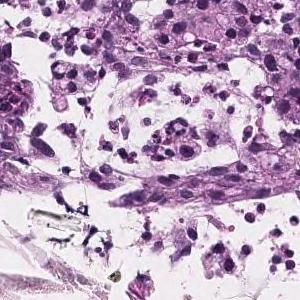
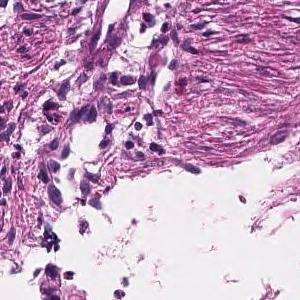
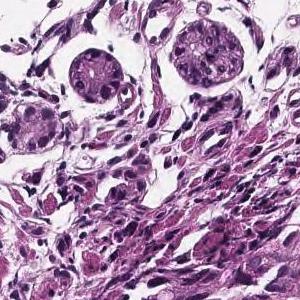
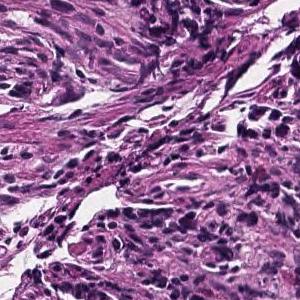
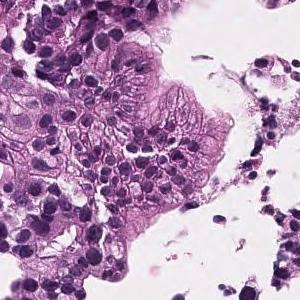
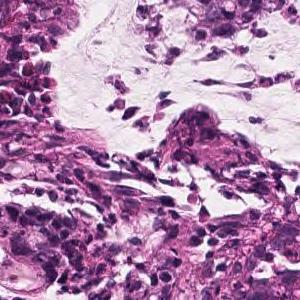
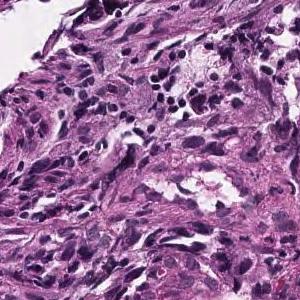
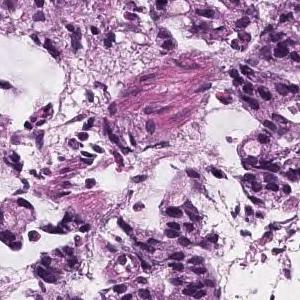
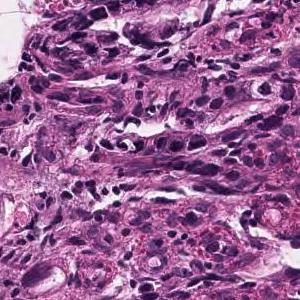
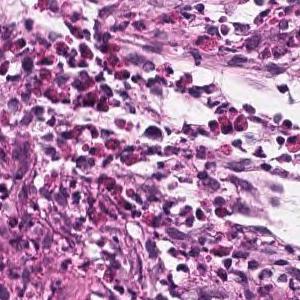
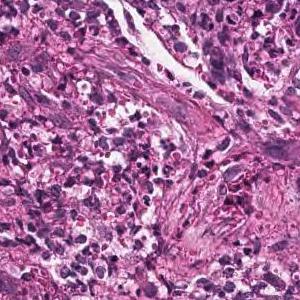
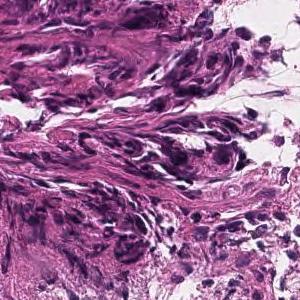
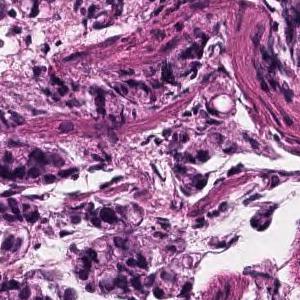
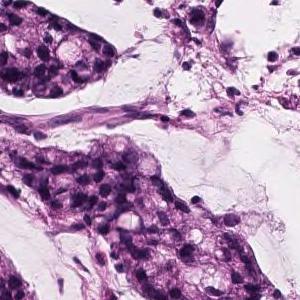
14 image tiles from a single gastric biopsy slide; 300 × 300 pixels each; ×20; H&E stain.
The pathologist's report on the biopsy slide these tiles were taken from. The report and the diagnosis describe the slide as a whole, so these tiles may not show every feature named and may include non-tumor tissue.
Atypical epithelial cells form obscure ductal structures or small solid follicles, and tumor tissue that proliferates invasively with proliferation of inflammatory granulation tissue is observed. Mucinous adenocarcinoma .
